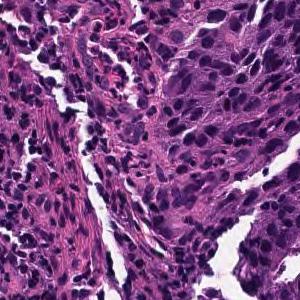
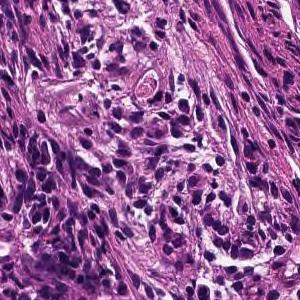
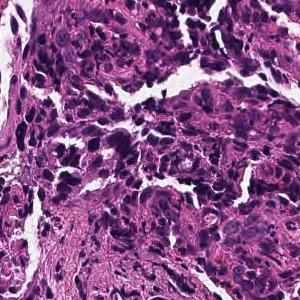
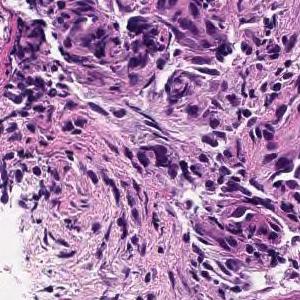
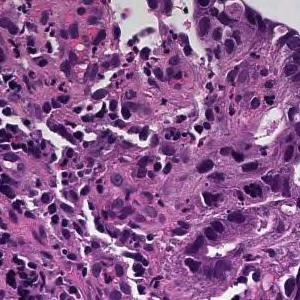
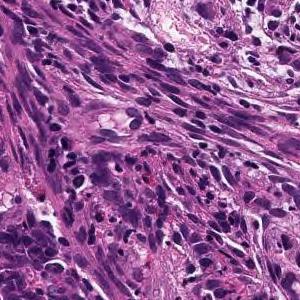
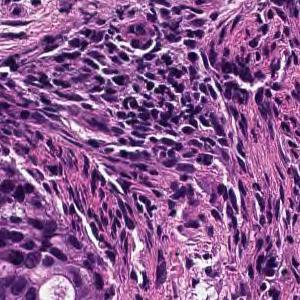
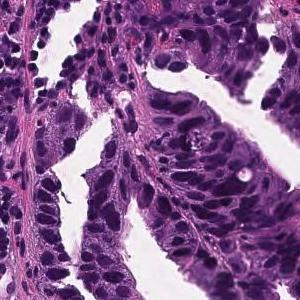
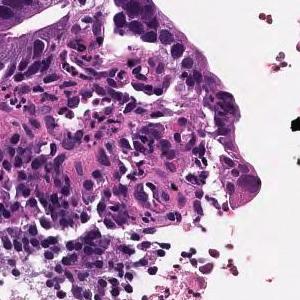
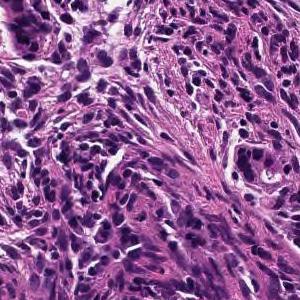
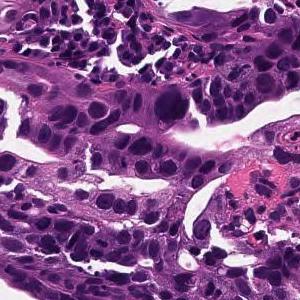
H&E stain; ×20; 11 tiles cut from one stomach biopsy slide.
Report on the slide these tiles come from. The report describes the whole slide, diagnosis included: not every finding it names need appear in these tiles, which may also show non-tumor tissue.
On the superficial epithelium, tumor tissue consisting of large irregular glandular ducts partially fused and infiltrated is observed. Well to moderately differentiated tubular adenocarcinoma (well differentiated tubular adenocarcinoma, moderately differentiated tubular adenocarcinoma)
Histological subtype: Well to moderately differentiated tubular adenocarcinoma.
